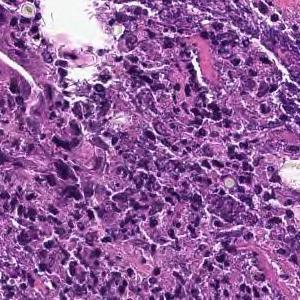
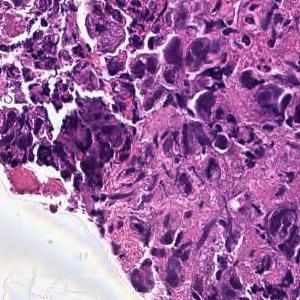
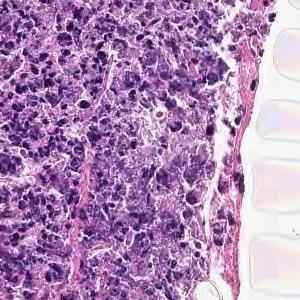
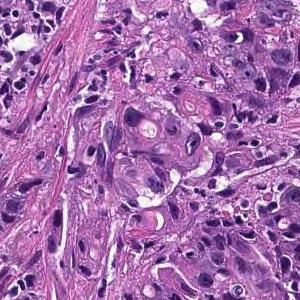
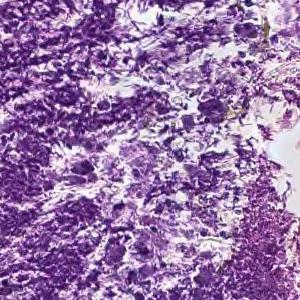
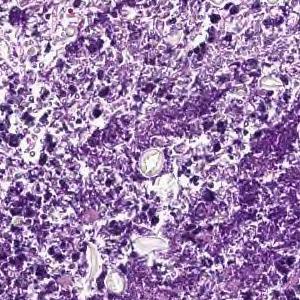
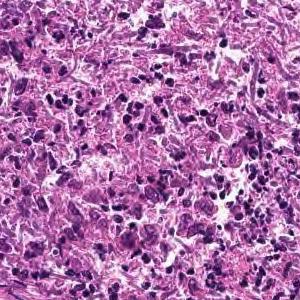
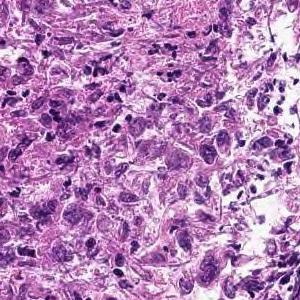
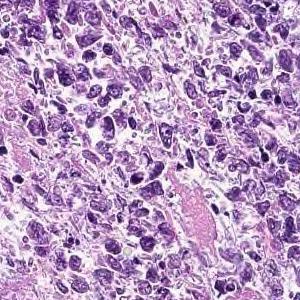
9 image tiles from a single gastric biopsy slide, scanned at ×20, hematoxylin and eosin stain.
The pathologist's report on the biopsy slide these tiles were taken from. Both the report and the diagnosis are for the whole slide: these tiles need not show every feature named, and some of the tissue shown may not be tumor.
Cancers with polygonal nuclei do not show glandular formation and are densely, in part, cord-like and proliferate. Poorly differentiated adenocarcinoma
Subtype: Poorly differentiated adenocarcinoma, non-solid type.
The non-solid type named here is a Japanese Classification of Gastric Carcinoma category.
